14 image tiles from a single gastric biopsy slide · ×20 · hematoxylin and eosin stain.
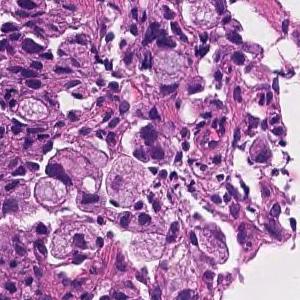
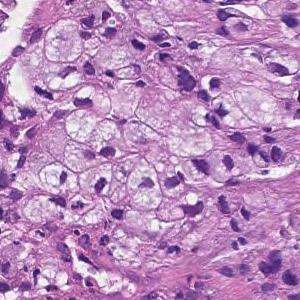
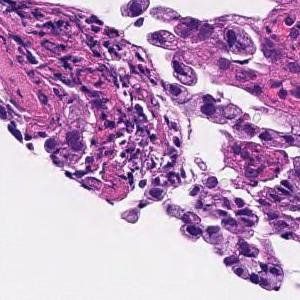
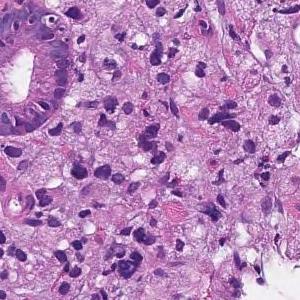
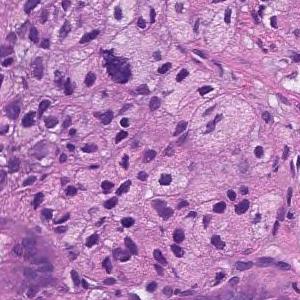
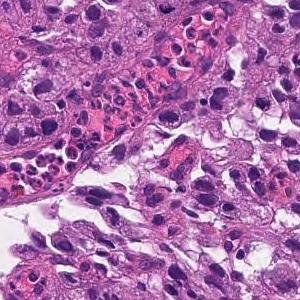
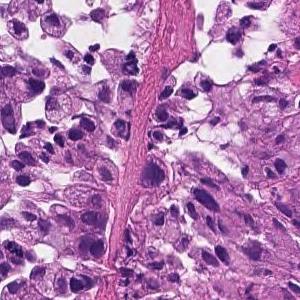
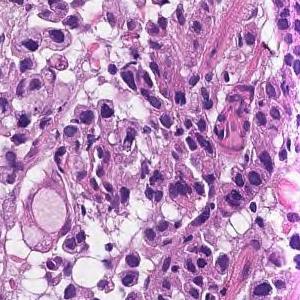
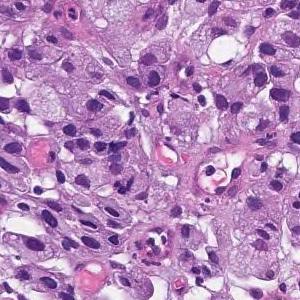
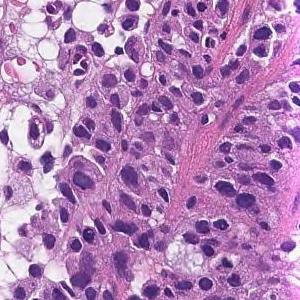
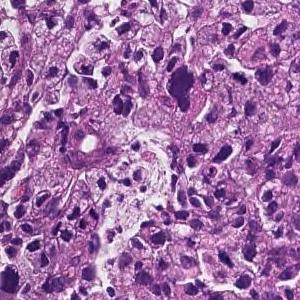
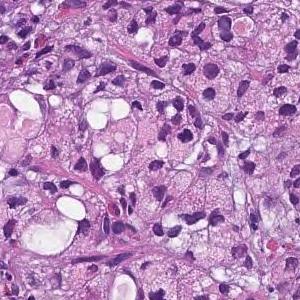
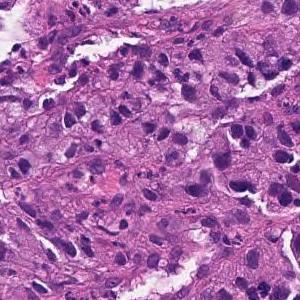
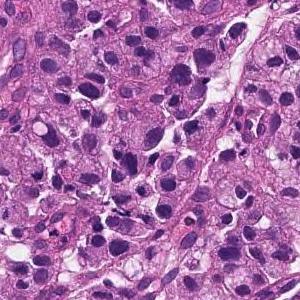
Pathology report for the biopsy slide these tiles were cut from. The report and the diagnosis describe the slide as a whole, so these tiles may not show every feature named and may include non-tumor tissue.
In the lamina propria, a tumor tissue consisting of signet ring cell type atypical epithelial cells infiltrating is observed. Signet ring cell carcinoma.
